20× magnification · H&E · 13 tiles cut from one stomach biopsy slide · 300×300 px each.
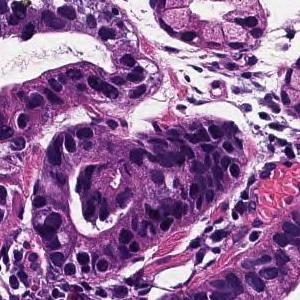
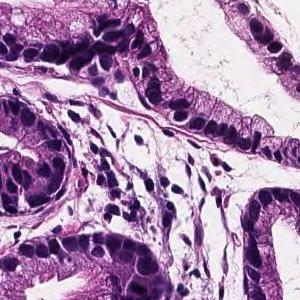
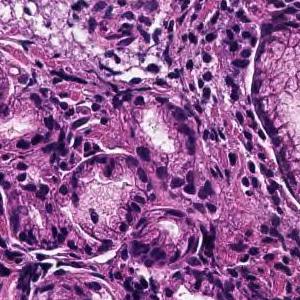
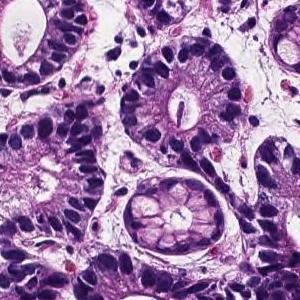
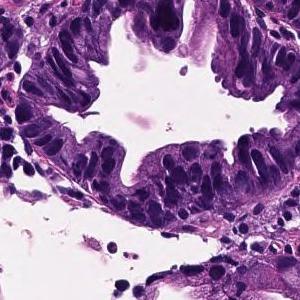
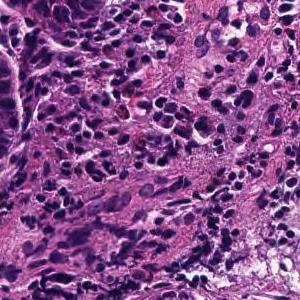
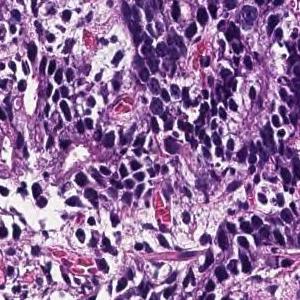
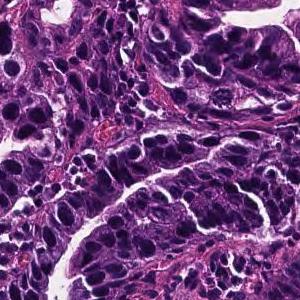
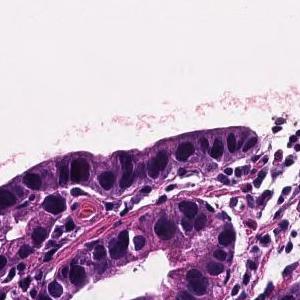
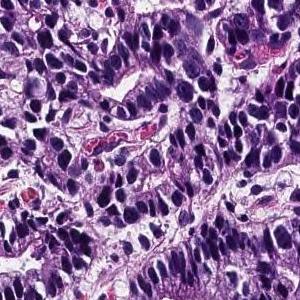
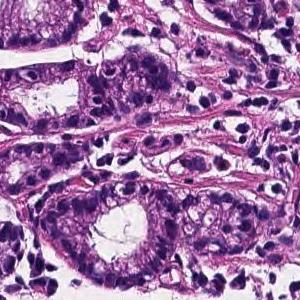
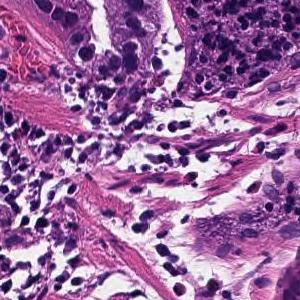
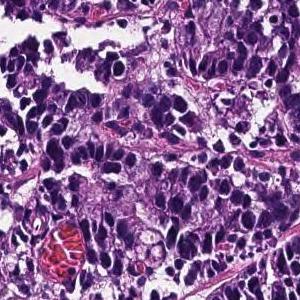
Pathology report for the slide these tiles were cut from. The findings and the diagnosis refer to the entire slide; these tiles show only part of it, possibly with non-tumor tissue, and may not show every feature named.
Tumor cells are large, highly columnar, large club-shaped nuclei, and are associated with chromatin aggregation. Papillary adenocarcinoma.
